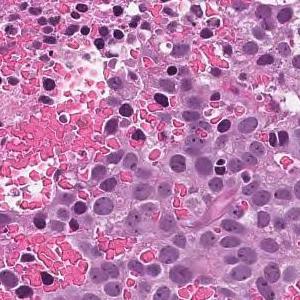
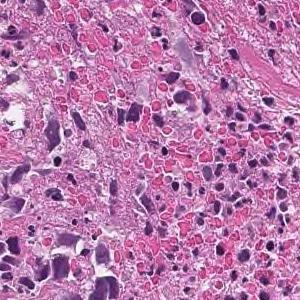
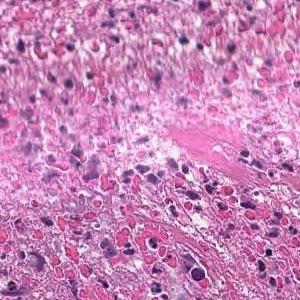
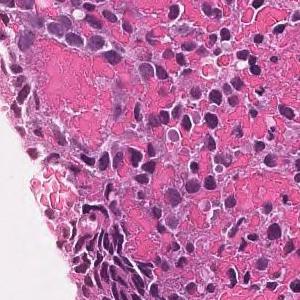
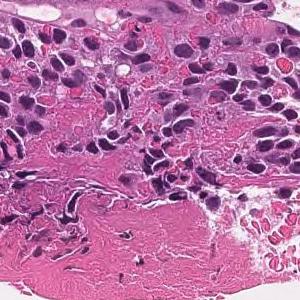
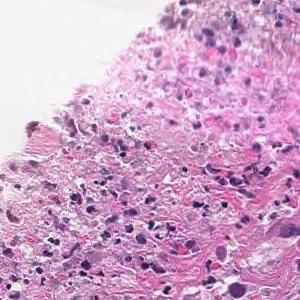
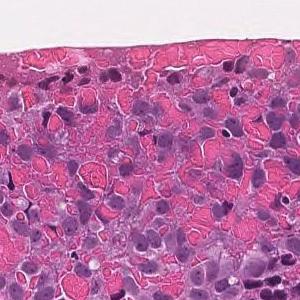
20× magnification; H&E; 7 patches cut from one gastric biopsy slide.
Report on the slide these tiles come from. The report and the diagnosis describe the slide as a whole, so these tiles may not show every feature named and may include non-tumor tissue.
The superficial epithelium shows a large sheet-like shape, and some tumor tissue infiltrates with small irregular ducts. Poorly differentiated adenocarcinoma, solid-type
Histological subtype: Poorly differentiated adenocarcinoma, solid type (Japanese Classification of Gastric Carcinoma). The WHO 2019 equivalent is tubular adenocarcinoma, poorly differentiated.
